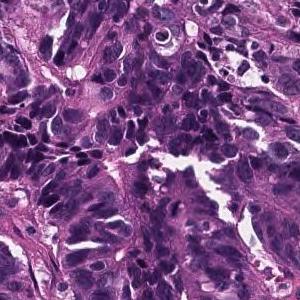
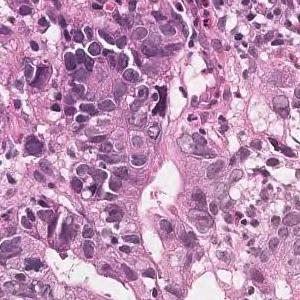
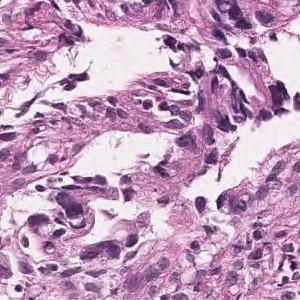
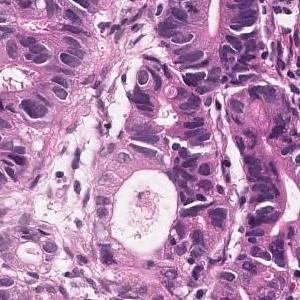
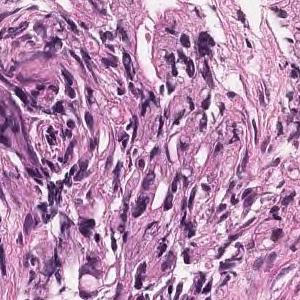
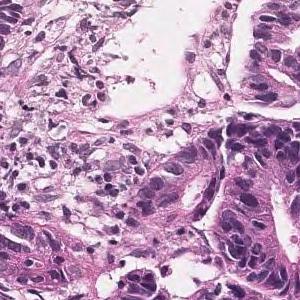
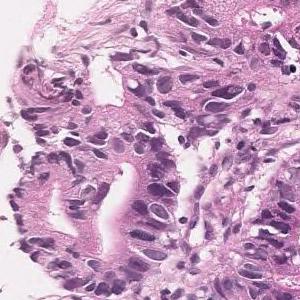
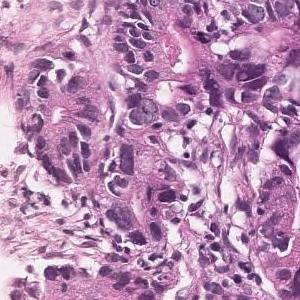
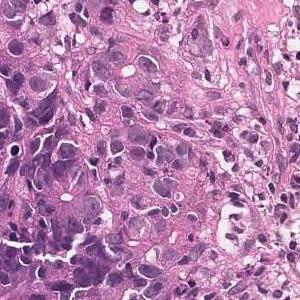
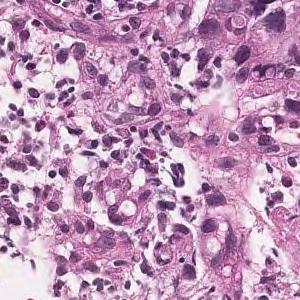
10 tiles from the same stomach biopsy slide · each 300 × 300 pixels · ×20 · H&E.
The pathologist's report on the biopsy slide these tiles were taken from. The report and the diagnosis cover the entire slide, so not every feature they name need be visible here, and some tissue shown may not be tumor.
In the superficial epithelium, tumor tissue is found in which medium-sized irregular gland ducts fuse with each other and infiltrate. moderately differentiated tubular adenocarcinoma
